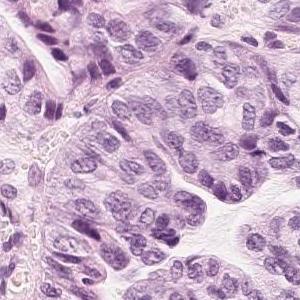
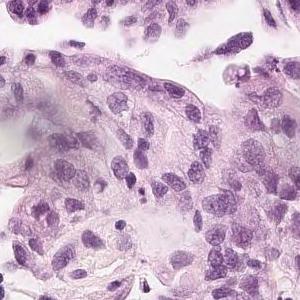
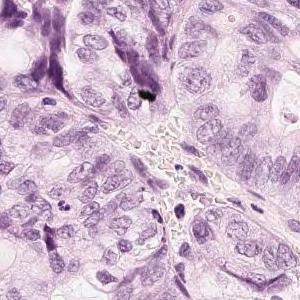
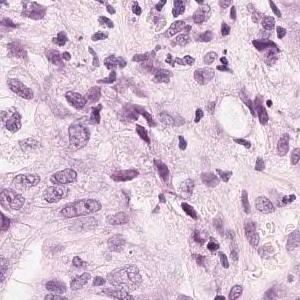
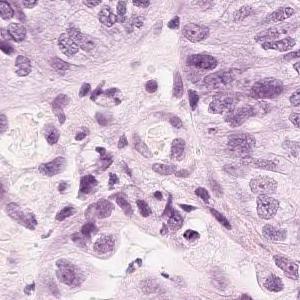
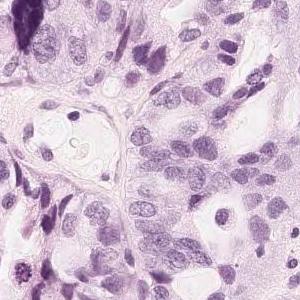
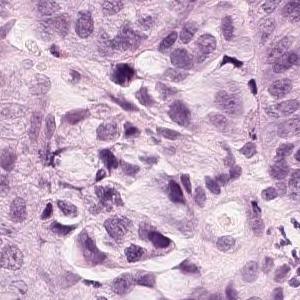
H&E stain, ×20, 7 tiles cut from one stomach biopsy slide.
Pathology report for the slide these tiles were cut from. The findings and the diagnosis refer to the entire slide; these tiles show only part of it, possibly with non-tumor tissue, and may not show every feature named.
Tumor tissue in which medium-sized atypical epithelial cells with a large N/C ratio grow densely while becoming alveolar to cord-like with duct formation is observed. moderately differentiated tubular adenocarcinoma
